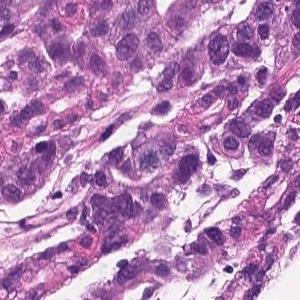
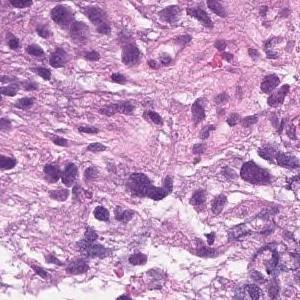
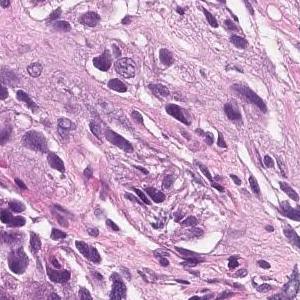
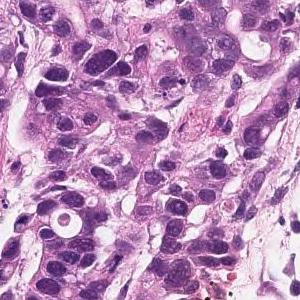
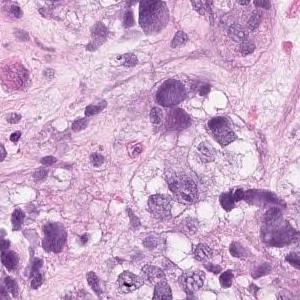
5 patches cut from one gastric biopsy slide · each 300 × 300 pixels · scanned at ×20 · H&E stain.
Pathology report for the slide these tiles were cut from. The report describes the whole slide, diagnosis included: not every finding it names need appear in these tiles, which may also show non-tumor tissue.
Tumor tissue that infiltrates the epithelium in an alveolar manner. Poorly differentiated adenocarcinoma, solid-type
Subtype: Poorly differentiated adenocarcinoma, solid type (Japanese Classification of Gastric Carcinoma). The WHO 2019 equivalent is tubular adenocarcinoma, poorly differentiated.
